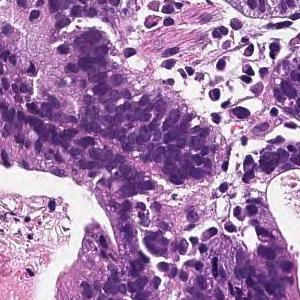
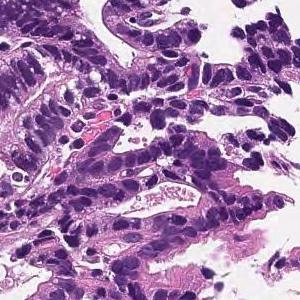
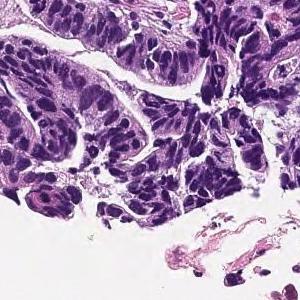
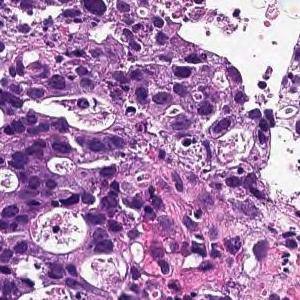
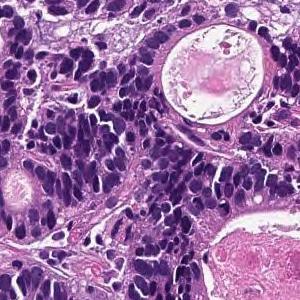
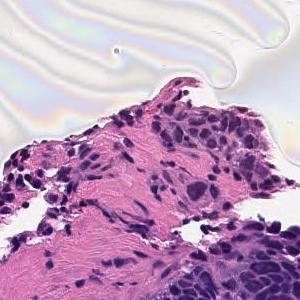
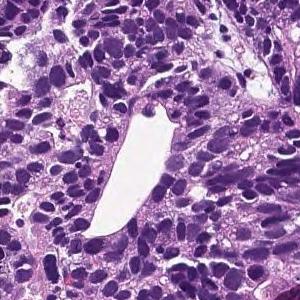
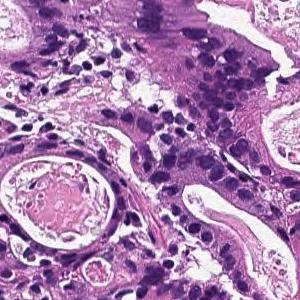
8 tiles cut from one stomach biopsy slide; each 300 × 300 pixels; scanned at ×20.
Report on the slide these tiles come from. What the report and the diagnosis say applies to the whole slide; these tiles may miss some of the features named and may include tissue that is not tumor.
In the superficial epithelium, tumor tissue that invades by forming medium-sized to small, irregular ducts is observed. moderately differentiated tubular adenocarcinoma.
